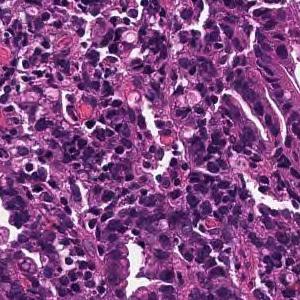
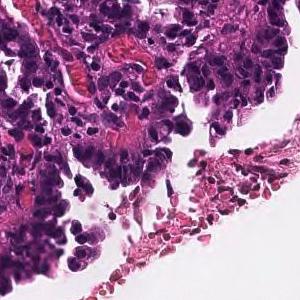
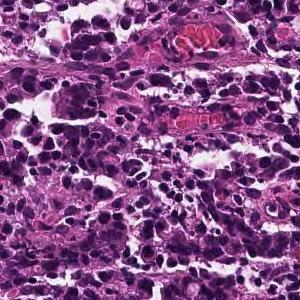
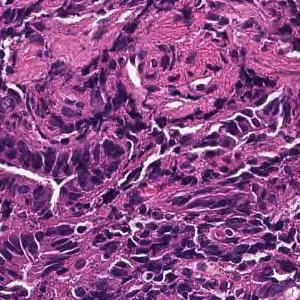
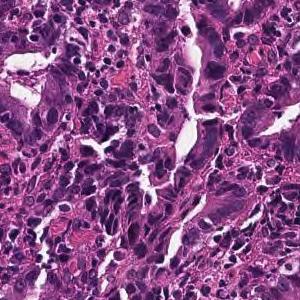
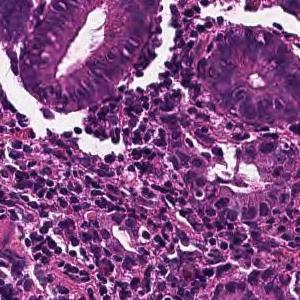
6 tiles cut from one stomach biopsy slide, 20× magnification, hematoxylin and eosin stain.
Diagnostic report for the slide these tiles come from. The report and the diagnosis cover the entire slide, so not every feature they name need be visible here, and some tissue shown may not be tumor.
In the superficial epithelium, tumor tissue that invades by forming medium-sized to small, irregular ducts is observed. moderately differentiated tubular adenocarcinoma.
